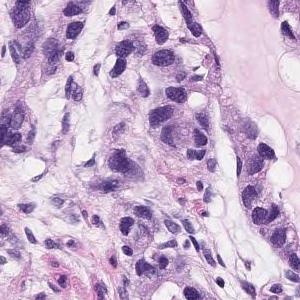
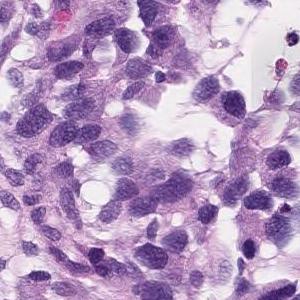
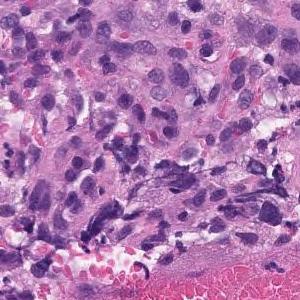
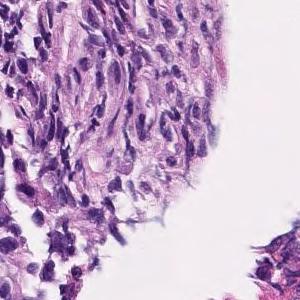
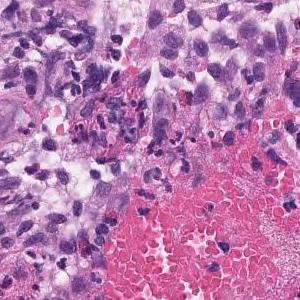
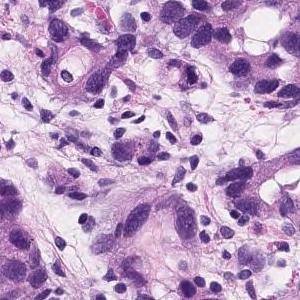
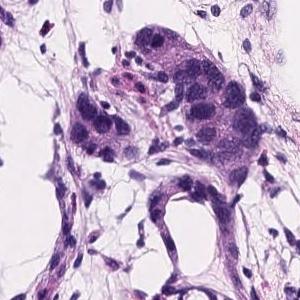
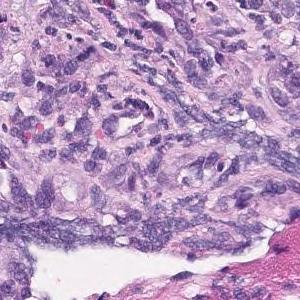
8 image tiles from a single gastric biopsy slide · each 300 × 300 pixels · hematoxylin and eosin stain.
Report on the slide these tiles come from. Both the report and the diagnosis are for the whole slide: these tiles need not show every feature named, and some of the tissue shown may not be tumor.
Group 5, Adenocarcinoma. Moderately to poorly differentiated adenocarcinoma
